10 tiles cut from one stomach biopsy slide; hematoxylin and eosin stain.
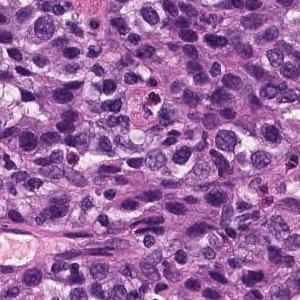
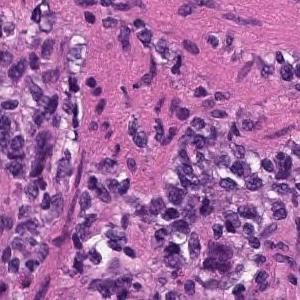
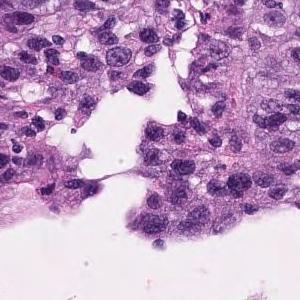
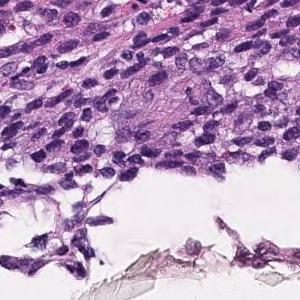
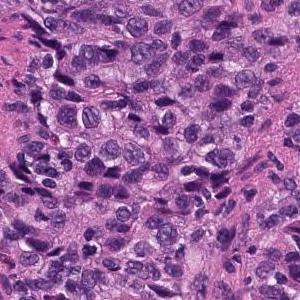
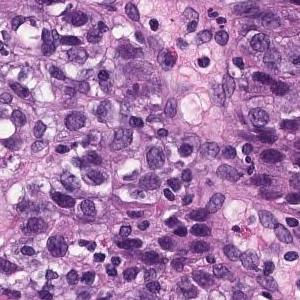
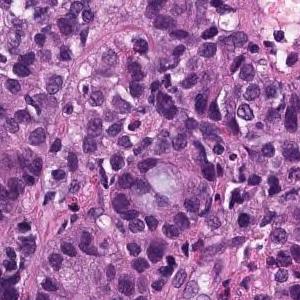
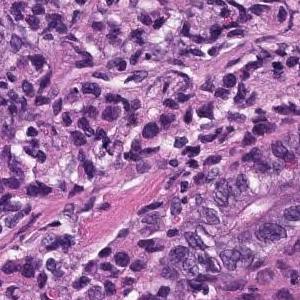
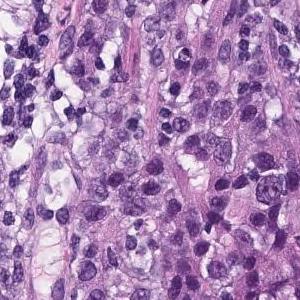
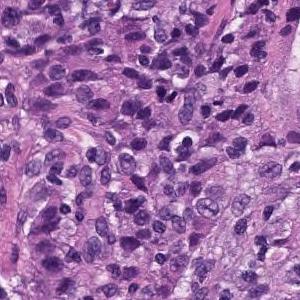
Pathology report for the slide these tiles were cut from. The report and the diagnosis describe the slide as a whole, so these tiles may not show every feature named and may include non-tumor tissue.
In the superficial epithelium, tumor tissue that invades by forming medium-sized to small, irregular ducts is observed. Moderately differentiated adenocarcinoma.
Subtype: Moderately differentiated tubular adenocarcinoma.
